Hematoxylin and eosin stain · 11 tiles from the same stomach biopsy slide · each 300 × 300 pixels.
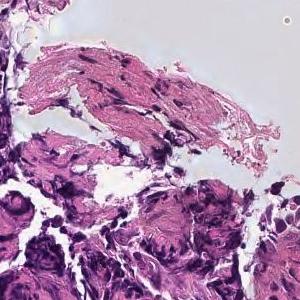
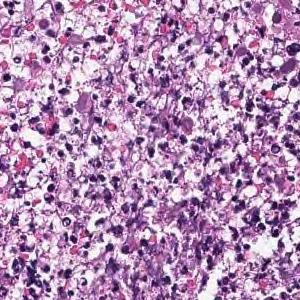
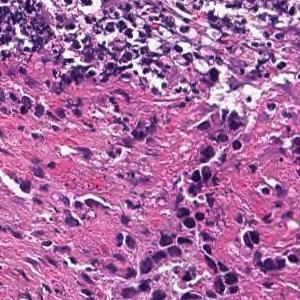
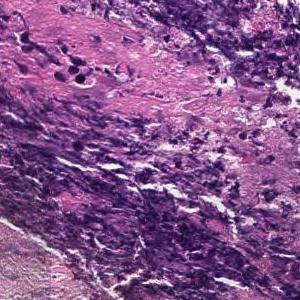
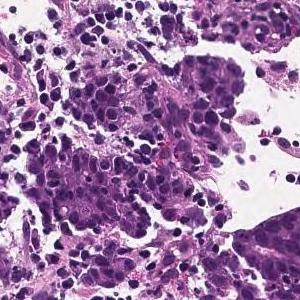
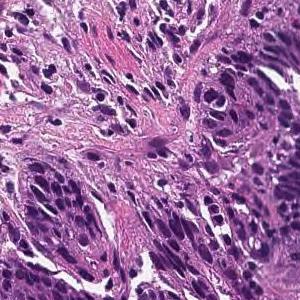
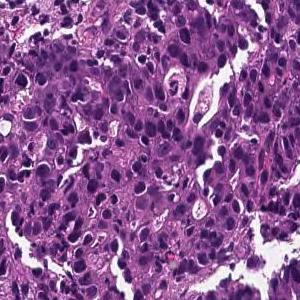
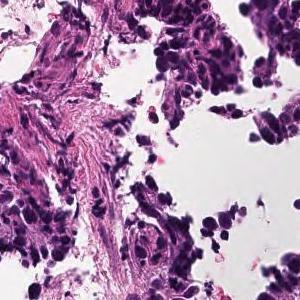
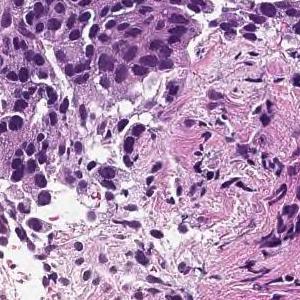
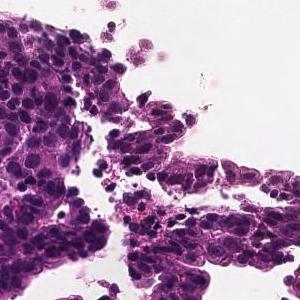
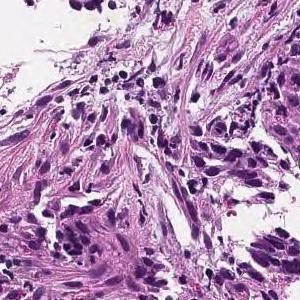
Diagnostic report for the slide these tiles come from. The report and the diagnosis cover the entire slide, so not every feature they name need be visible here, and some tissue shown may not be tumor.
In the superficial epithelium, tumor tissue that invades by forming medium-sized to small, irregular ducts is observed. moderately differentiated tubular adenocarcinoma.
